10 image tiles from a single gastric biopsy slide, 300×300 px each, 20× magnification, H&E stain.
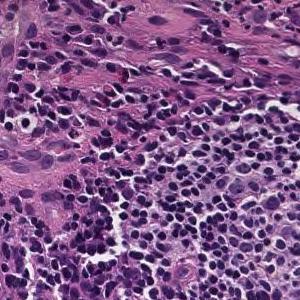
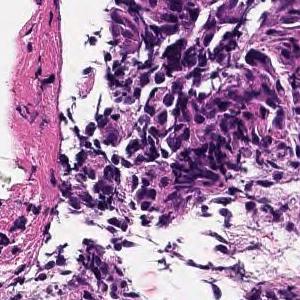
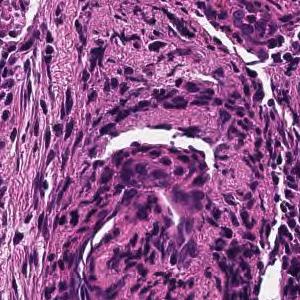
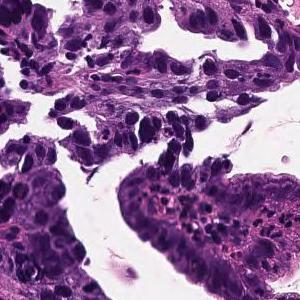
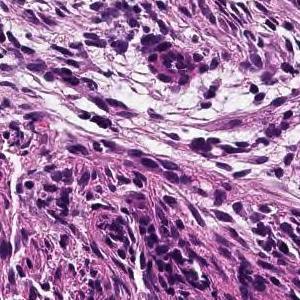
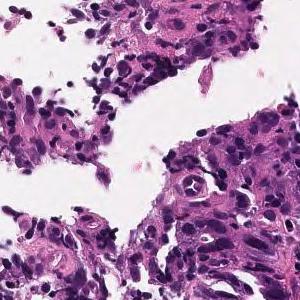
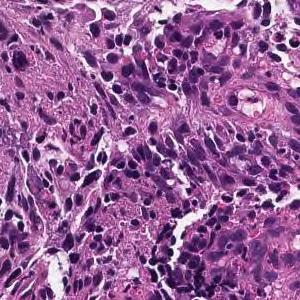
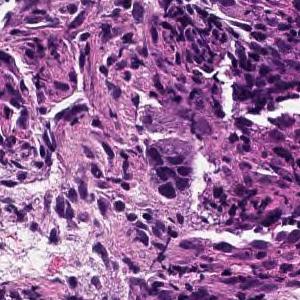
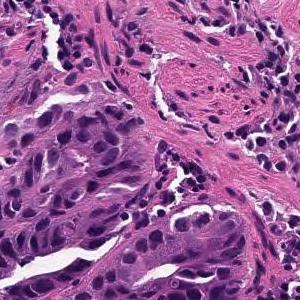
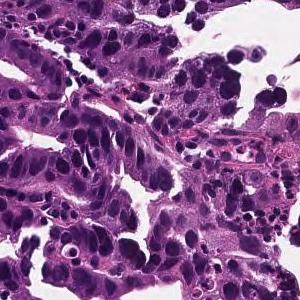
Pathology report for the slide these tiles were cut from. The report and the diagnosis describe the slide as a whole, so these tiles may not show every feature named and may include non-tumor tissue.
On the superficial epithelium, tumor tissue consisting of large irregular glandular ducts partially fused and infiltrated is observed. Well to moderately differentiated tubular adenocarcinoma (well differentiated tubular adenocarcinoma, moderately differentiated tubular adenocarcinoma)
Classified as well to moderately differentiated tubular adenocarcinoma.
